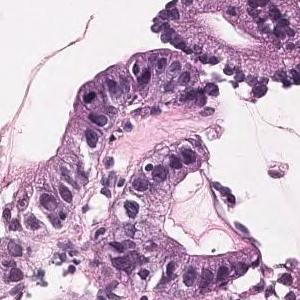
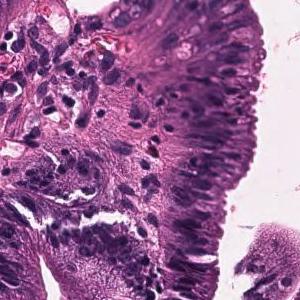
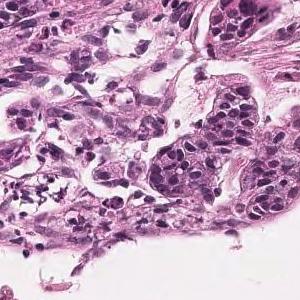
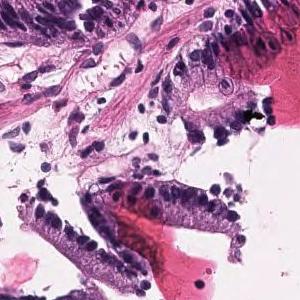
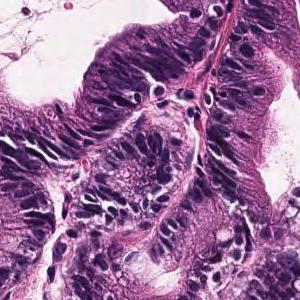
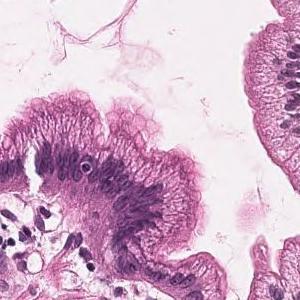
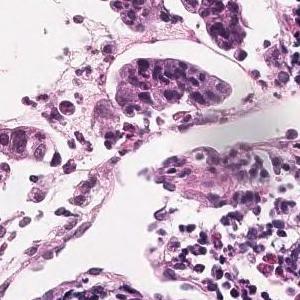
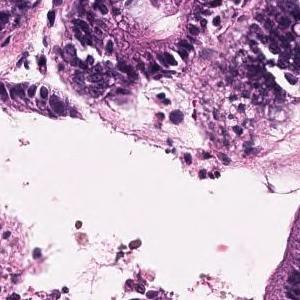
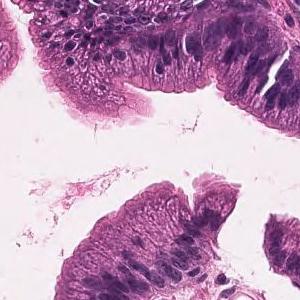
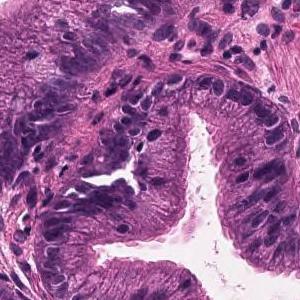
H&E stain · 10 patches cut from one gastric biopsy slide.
Pathology report for the slide these tiles were cut from. The findings and the diagnosis refer to the entire slide; these tiles show only part of it, possibly with non-tumor tissue, and may not show every feature named.
Tumor tissue that grows invasively while the short atypical epithelium forms small ducts is observed. moderately differentiated tubular adenocarcinoma
